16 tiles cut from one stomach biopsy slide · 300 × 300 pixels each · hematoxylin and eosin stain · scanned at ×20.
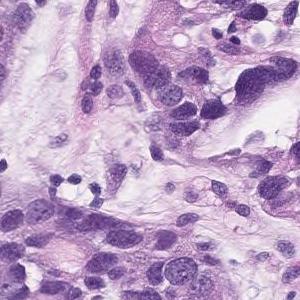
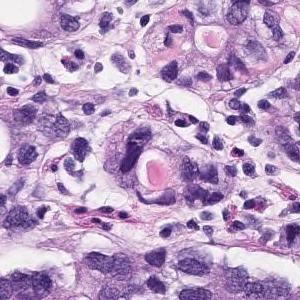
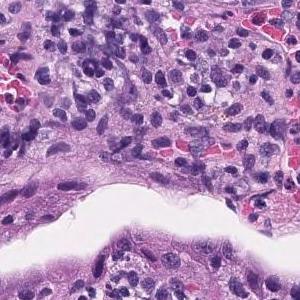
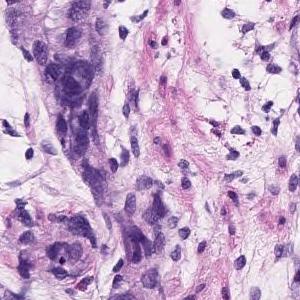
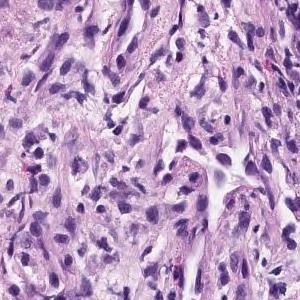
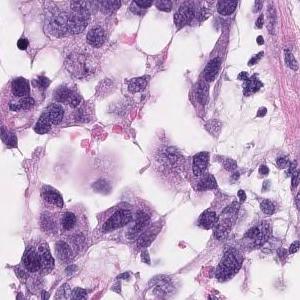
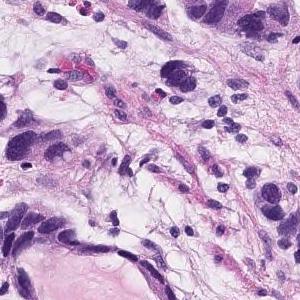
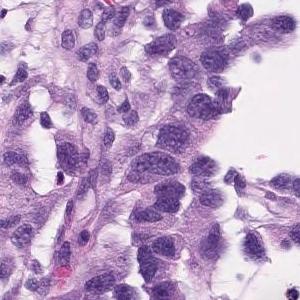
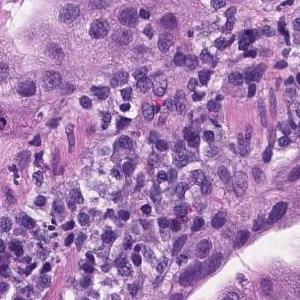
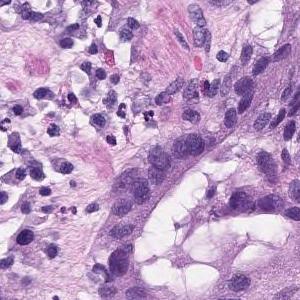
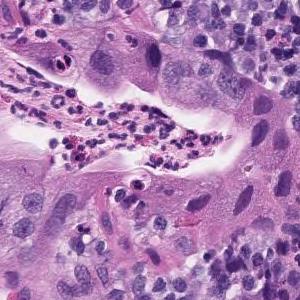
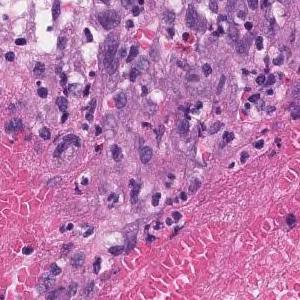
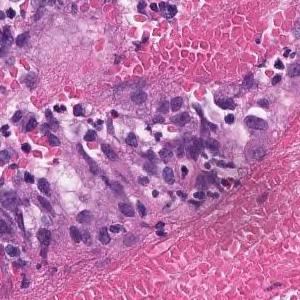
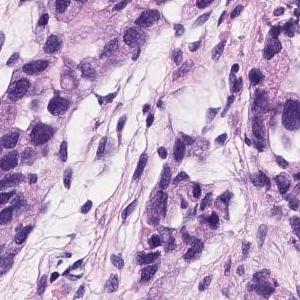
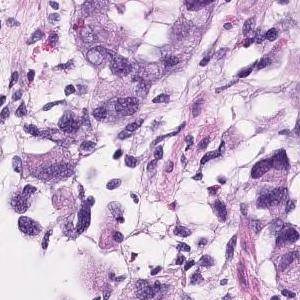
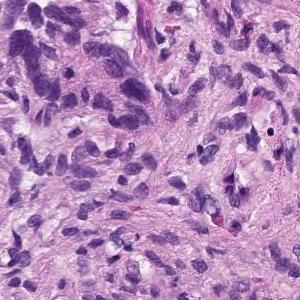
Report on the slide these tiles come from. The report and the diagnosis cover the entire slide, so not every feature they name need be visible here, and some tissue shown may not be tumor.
Group 5, Adenocarcinoma. Moderately to poorly differentiated adenocarcinoma
